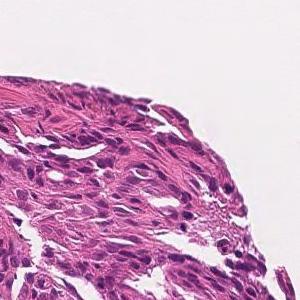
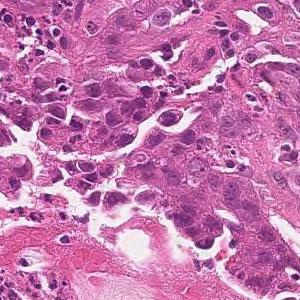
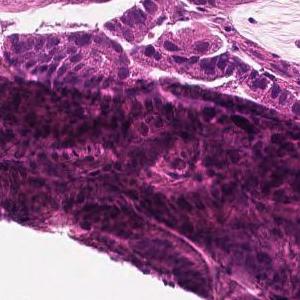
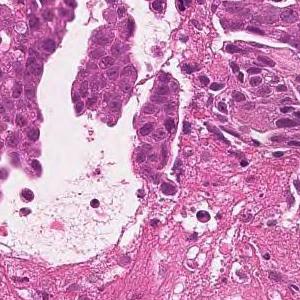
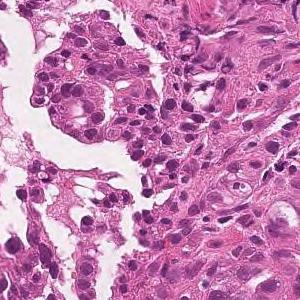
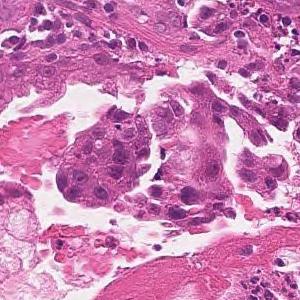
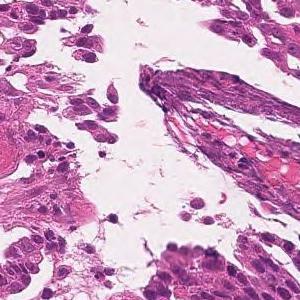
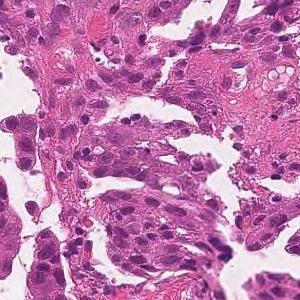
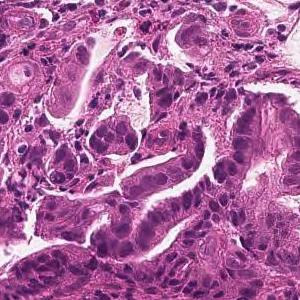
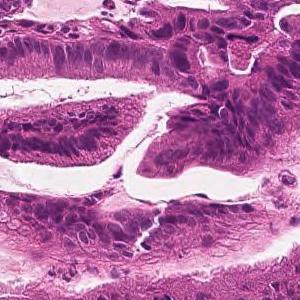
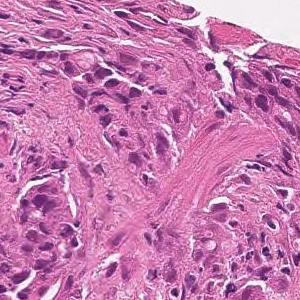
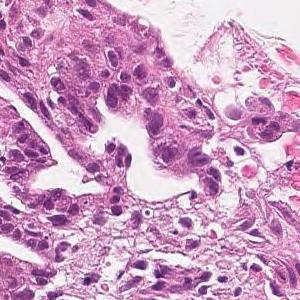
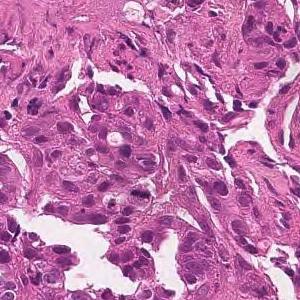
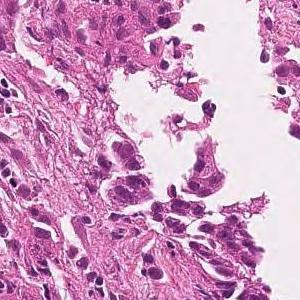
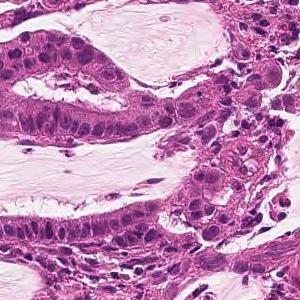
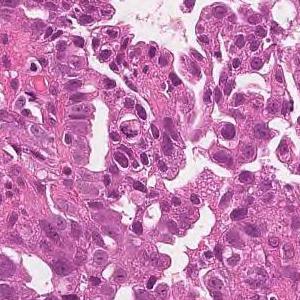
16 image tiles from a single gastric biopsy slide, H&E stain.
The pathologist's report on the biopsy slide these tiles were taken from. The findings and the diagnosis refer to the entire slide; these tiles show only part of it, possibly with non-tumor tissue, and may not show every feature named.
Tumor tissue consisting of large papillary structures is found in the superficial epithelium. Papillary adenocarcinoma.
